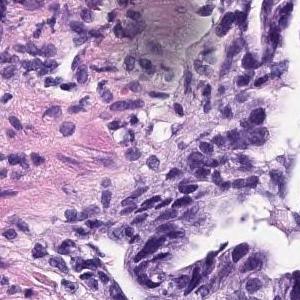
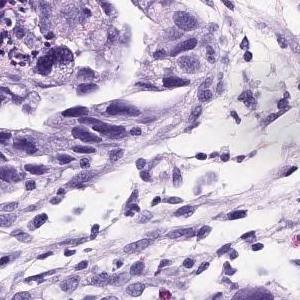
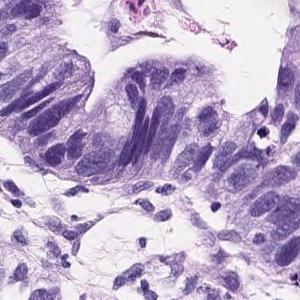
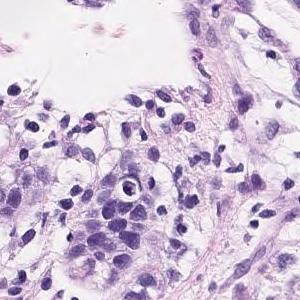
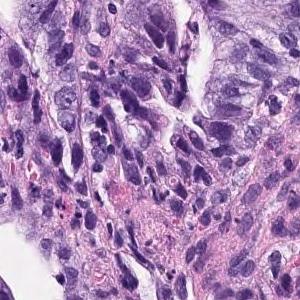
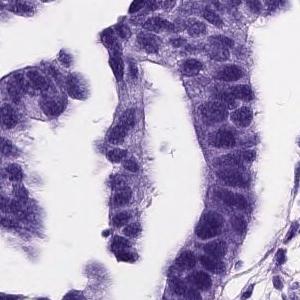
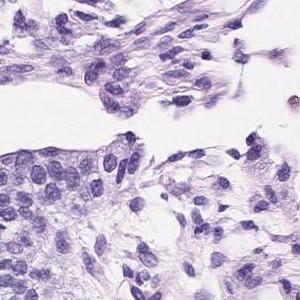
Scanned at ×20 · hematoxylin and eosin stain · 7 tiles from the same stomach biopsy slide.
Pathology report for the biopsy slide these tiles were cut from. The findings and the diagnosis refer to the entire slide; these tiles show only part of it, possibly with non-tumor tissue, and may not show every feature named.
On the superficial epithelium, tumor tissue consisting of medium to small irregular tubules partially fused and proliferated is observed. moderately differentiated tubular adenocarcinoma
